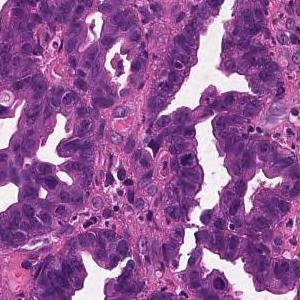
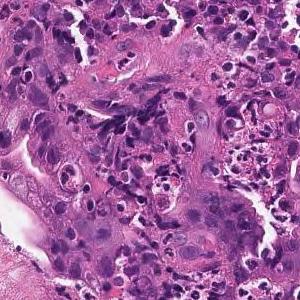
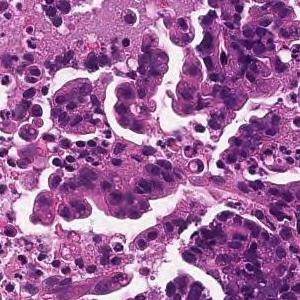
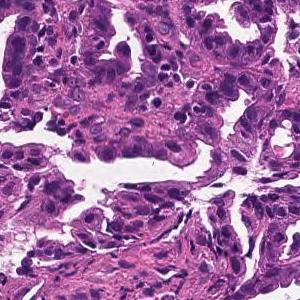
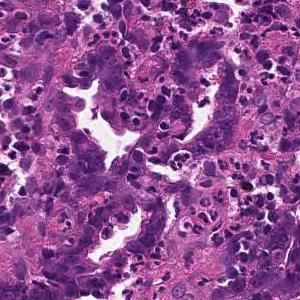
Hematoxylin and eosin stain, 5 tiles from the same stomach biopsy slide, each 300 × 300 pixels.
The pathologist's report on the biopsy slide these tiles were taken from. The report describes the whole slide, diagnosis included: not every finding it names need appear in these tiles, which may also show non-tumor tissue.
From the superficial epithelium to the muscularis mucosae, tumor tissue consisting of medium-sized and irregular glandular ducts infiltrating is observed. Well differentiated tubular adenocarcinoma
